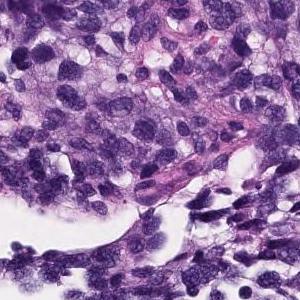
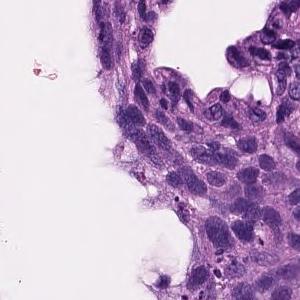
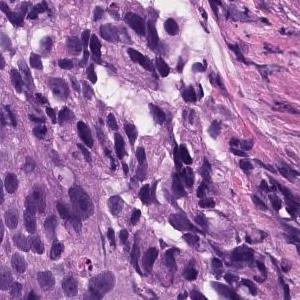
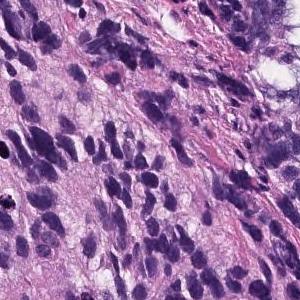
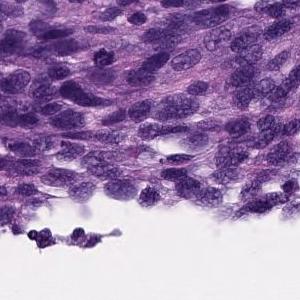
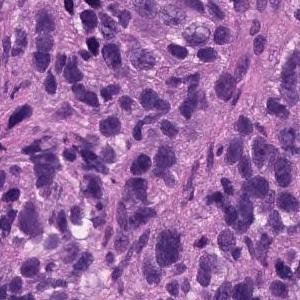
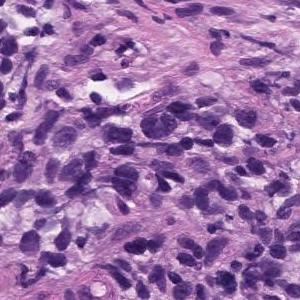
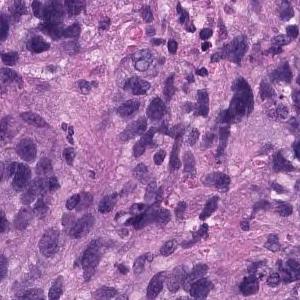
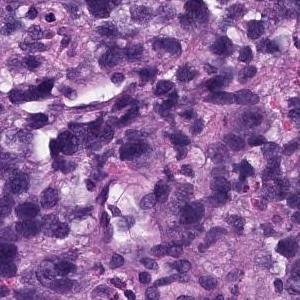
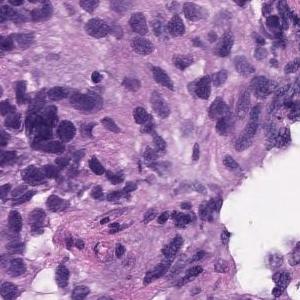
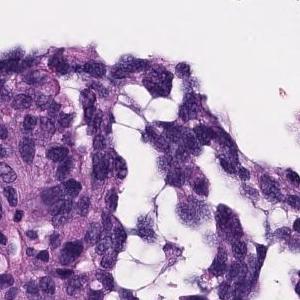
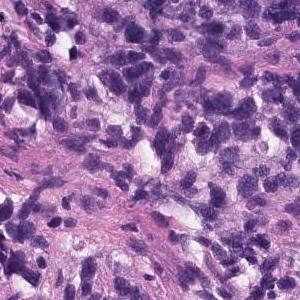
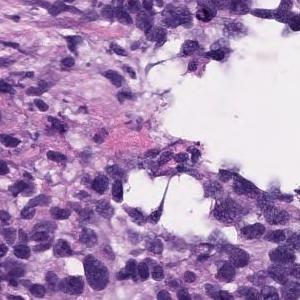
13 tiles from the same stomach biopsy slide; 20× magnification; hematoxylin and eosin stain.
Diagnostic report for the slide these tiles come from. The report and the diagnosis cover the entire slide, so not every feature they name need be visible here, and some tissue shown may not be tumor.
Atypical l cells with atypical nuclei under the mucosa growing in isolation and scattered. Poorly differentiated adenocarcinoma (poorly differentiated adenocarcinoma, non-solid type)
Subtype: Poorly differentiated adenocarcinoma, non-solid type.
The term "non-solid type" comes from the Japanese Classification of Gastric Carcinoma.
